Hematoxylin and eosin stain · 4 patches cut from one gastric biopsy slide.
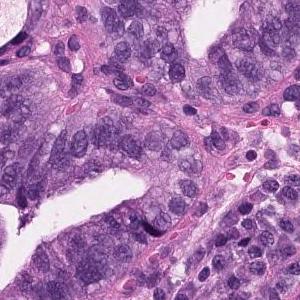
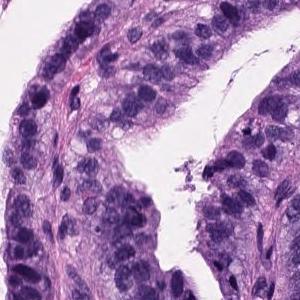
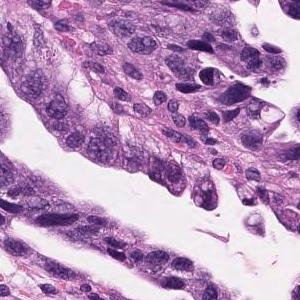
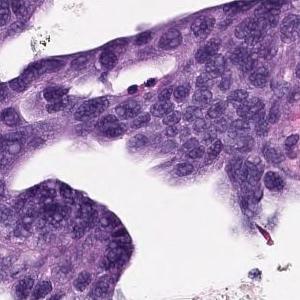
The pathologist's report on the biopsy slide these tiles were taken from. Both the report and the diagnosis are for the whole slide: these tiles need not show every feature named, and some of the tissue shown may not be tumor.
Tumor cells are large, highly columnar, large club-shaped nuclei, and are associated with chromatin aggregation. Papillary adenocarcinoma.
